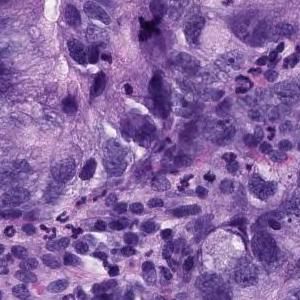
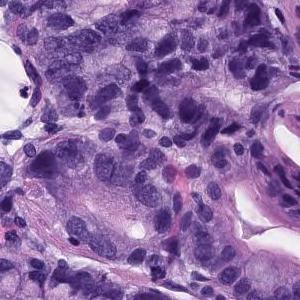
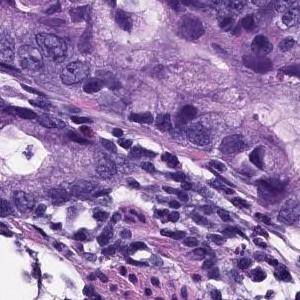
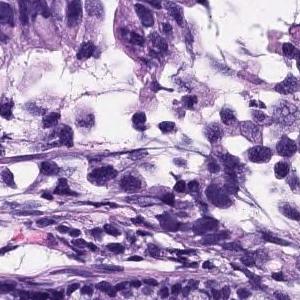
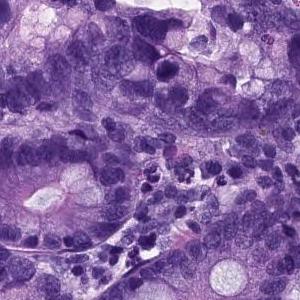
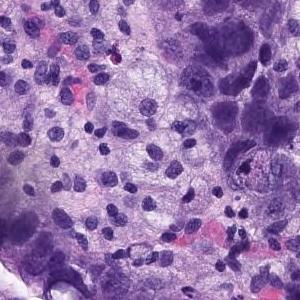
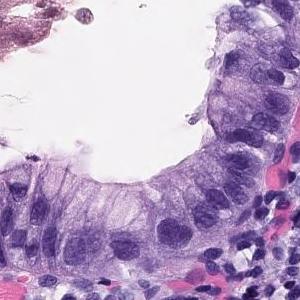
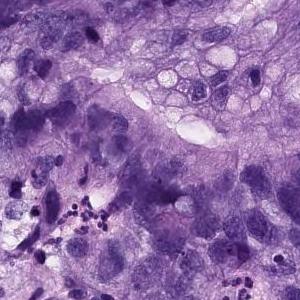
H&E; 8 image tiles from a single gastric biopsy slide.
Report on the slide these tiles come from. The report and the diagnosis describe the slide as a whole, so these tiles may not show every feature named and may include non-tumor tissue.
There are large atypical epithelial cells infiltrating and proliferating while forming atypical glandular cavities showing a fusion tendency. Moderately differentiated tubular adenocarcinoma.
